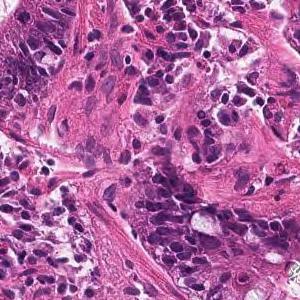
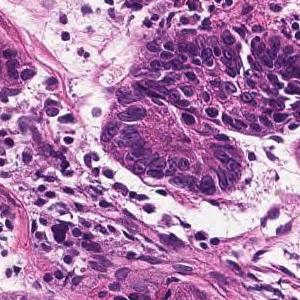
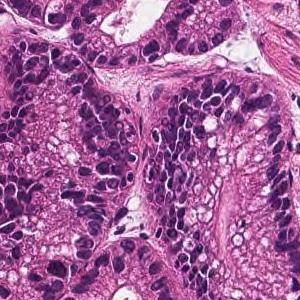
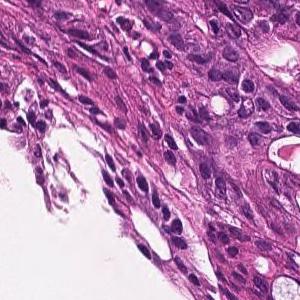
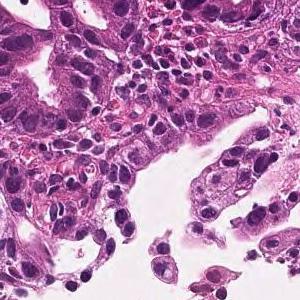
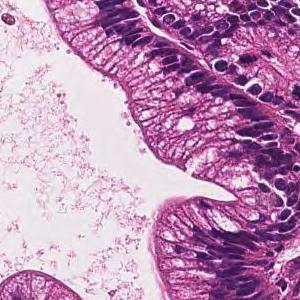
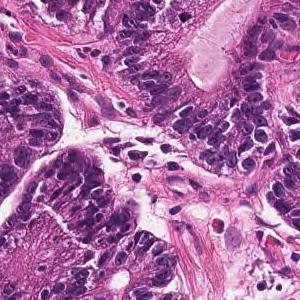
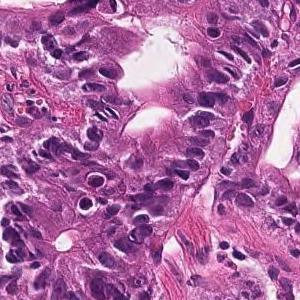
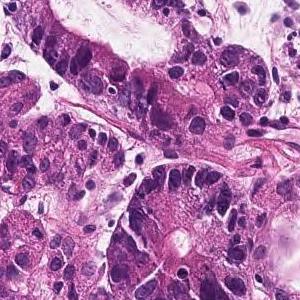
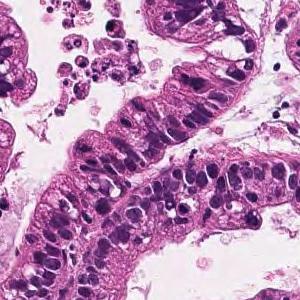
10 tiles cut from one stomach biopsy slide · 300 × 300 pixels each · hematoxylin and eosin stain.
Pathology report for the biopsy slide these tiles were cut from. The report and the diagnosis describe the slide as a whole, so these tiles may not show every feature named and may include non-tumor tissue.
In the superficial epithelium, tumor tissue that invades by forming medium-sized to small, irregular ducts is observed. moderately differentiated tubular adenocarcinoma.
